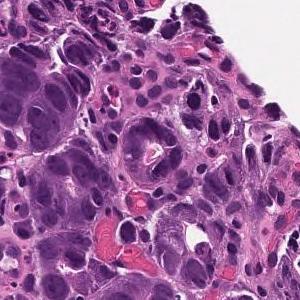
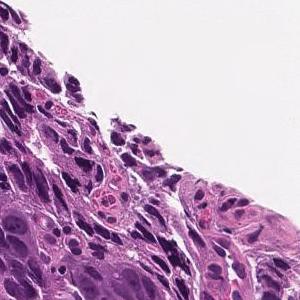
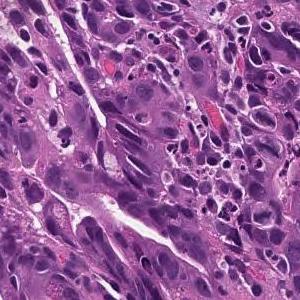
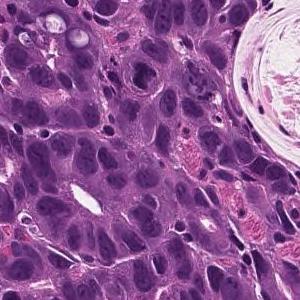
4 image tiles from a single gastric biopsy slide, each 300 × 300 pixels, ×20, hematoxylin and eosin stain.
Pathology report for the slide these tiles were cut from. The report and the diagnosis cover the entire slide, so not every feature they name need be visible here, and some tissue shown may not be tumor.
On the superficial epithelium, tumor tissue is found in which medium-sized irregular gland ducts fuse with each other and infiltrate. moderately differentiated tubular adenocarcinoma
